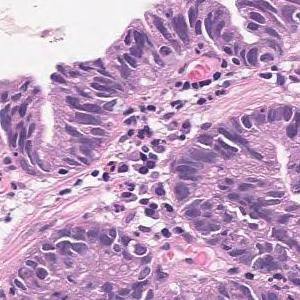
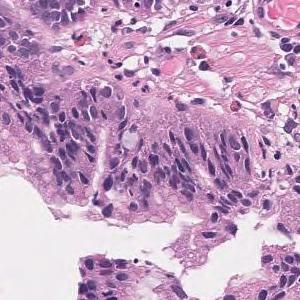
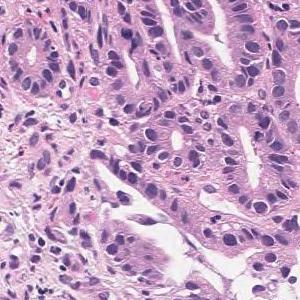
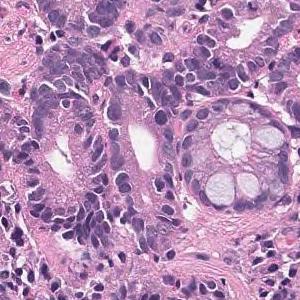
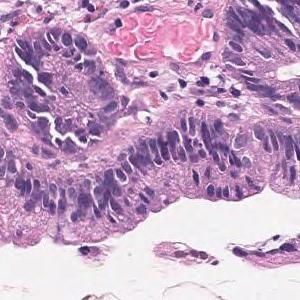
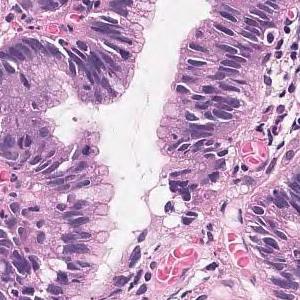
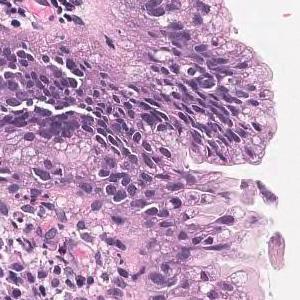
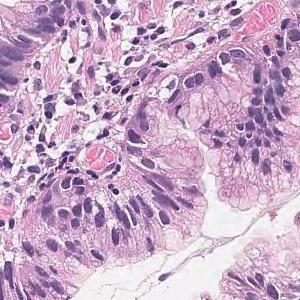
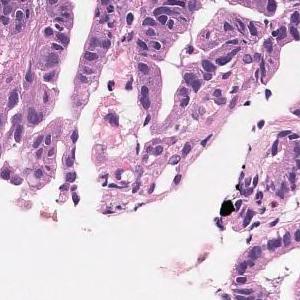
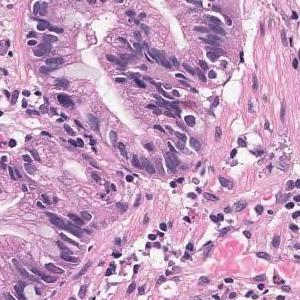
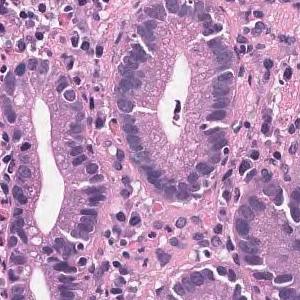
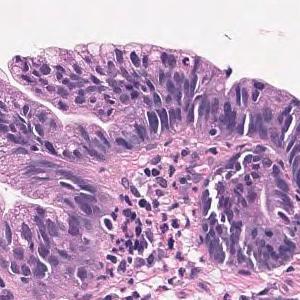
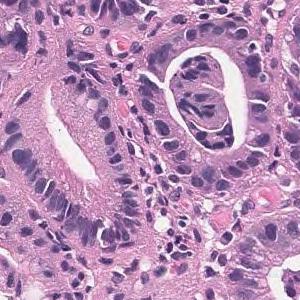
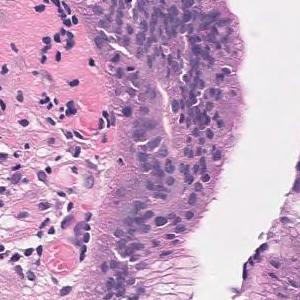
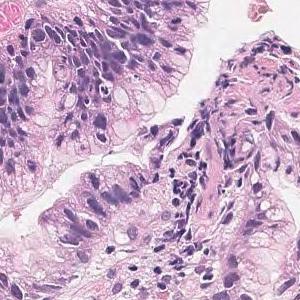
H&E; 15 tiles from the same stomach biopsy slide.
Pathology report for the biopsy slide these tiles were cut from. What the report and the diagnosis say applies to the whole slide; these tiles may miss some of the features named and may include tissue that is not tumor.
Tumor tissue that grows tubular from the surface to the glandular fossa is seen. Adenocarcinoma.
Classified as well differentiated tubular adenocarcinoma.
